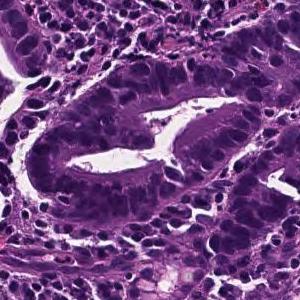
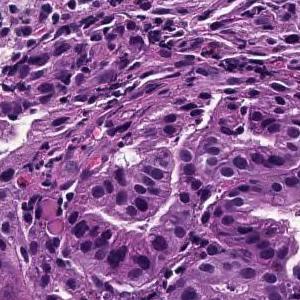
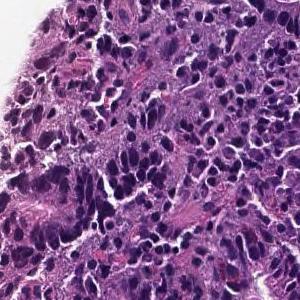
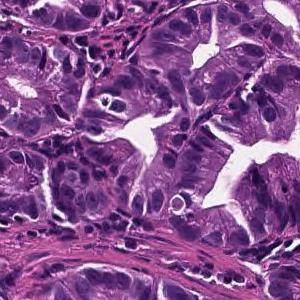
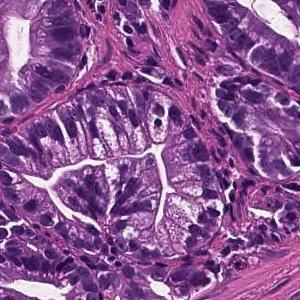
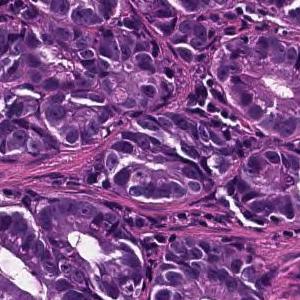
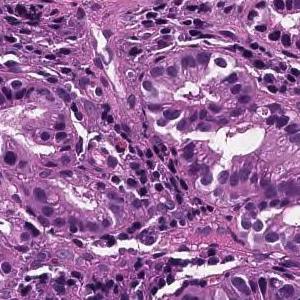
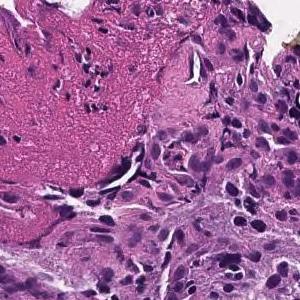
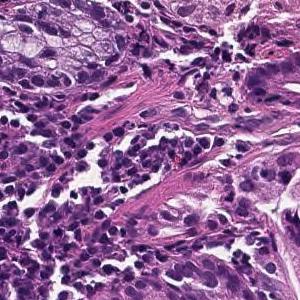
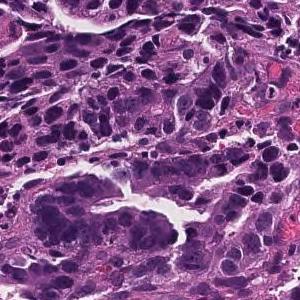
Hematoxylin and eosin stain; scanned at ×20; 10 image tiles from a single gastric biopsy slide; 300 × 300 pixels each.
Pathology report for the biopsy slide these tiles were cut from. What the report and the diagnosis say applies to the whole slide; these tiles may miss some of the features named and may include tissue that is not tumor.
On the superficial epithelium, tumor tissue consisting of large irregular glandular ducts partially fused and infiltrated is observed. Well to moderately differentiated tubular adenocarcinoma (well differentiated tubular adenocarcinoma, moderately differentiated tubular adenocarcinoma)
Histological subtype: Well to moderately differentiated tubular adenocarcinoma.
